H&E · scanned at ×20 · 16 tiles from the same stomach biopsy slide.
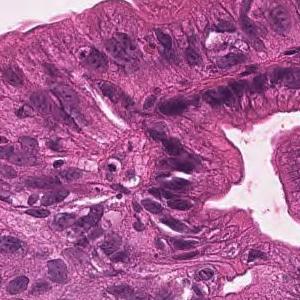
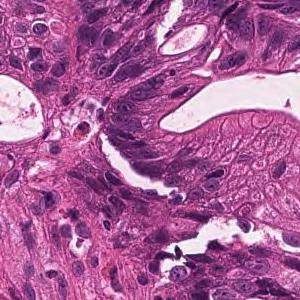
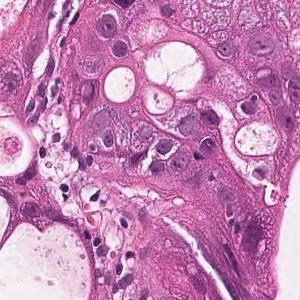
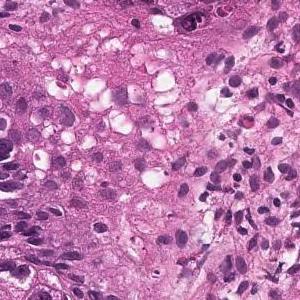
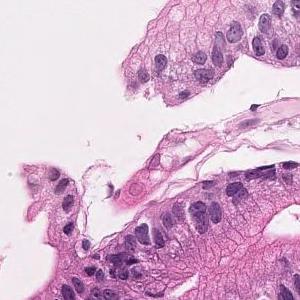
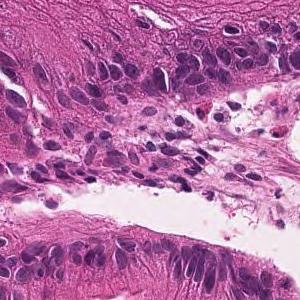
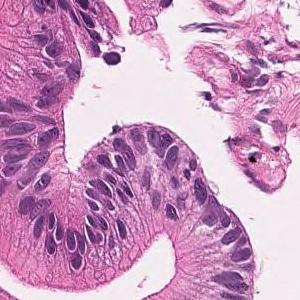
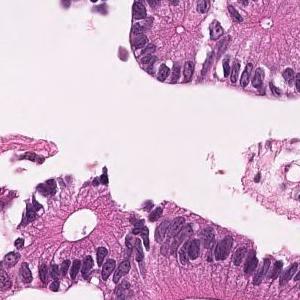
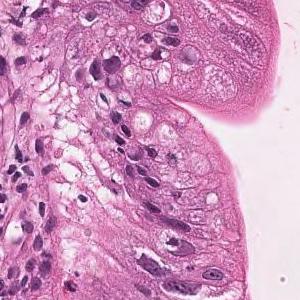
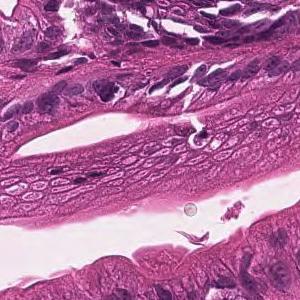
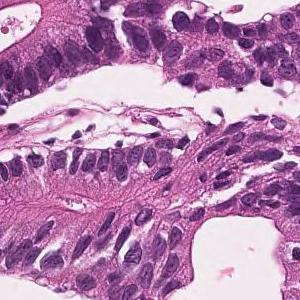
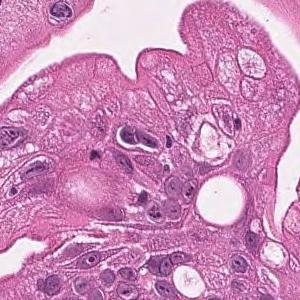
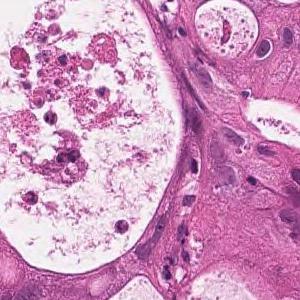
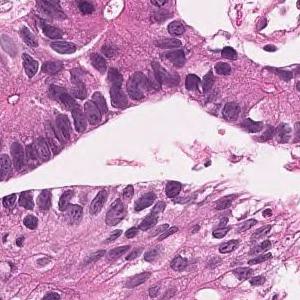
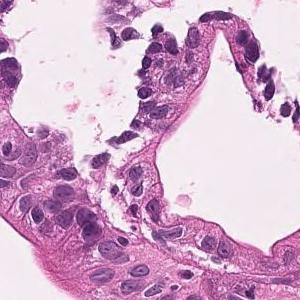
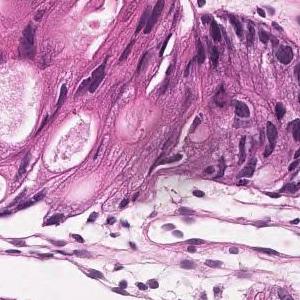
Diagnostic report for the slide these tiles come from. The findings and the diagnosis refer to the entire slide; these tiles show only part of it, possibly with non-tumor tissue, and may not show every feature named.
On the superficial epithelium, tumor tissue that infiltrates by forming medium-sized papillary or small irregular ducts is observed. Papillary adenocarcinoma
